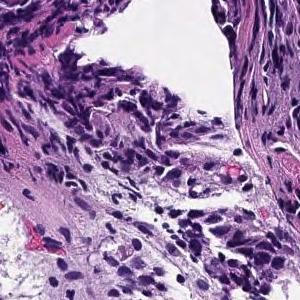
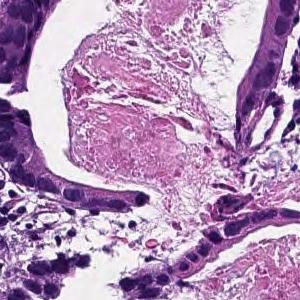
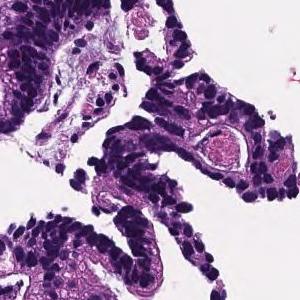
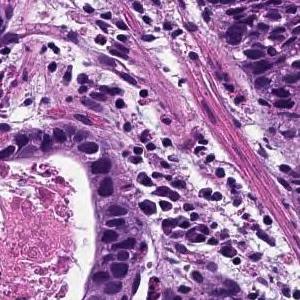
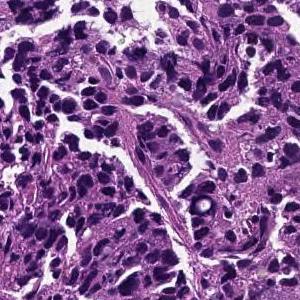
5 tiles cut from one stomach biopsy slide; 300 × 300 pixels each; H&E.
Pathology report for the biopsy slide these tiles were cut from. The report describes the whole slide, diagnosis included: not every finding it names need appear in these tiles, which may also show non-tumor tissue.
From the superficial epithelium to the muscularis mucosae, tumor tissue consisting of medium-sized and irregular glandular ducts infiltrating is observed. Well differentiated tubular adenocarcinoma
